5 tiles from the same stomach biopsy slide.
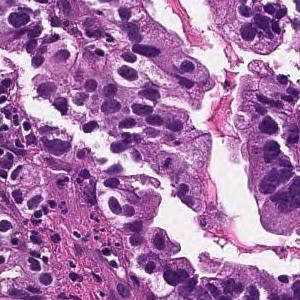
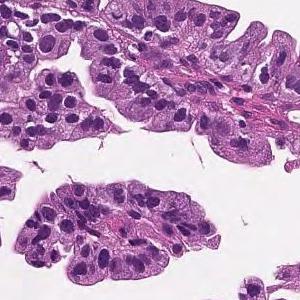
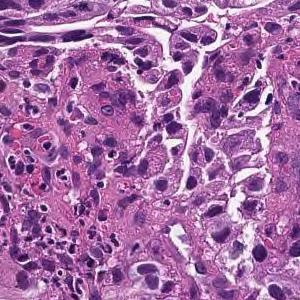
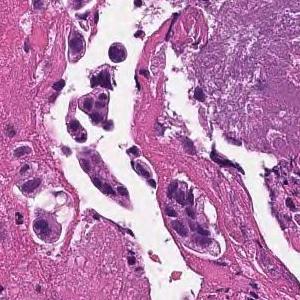
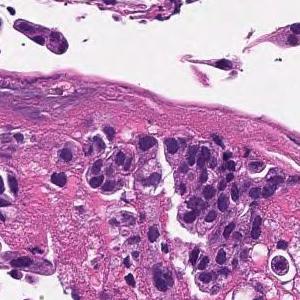
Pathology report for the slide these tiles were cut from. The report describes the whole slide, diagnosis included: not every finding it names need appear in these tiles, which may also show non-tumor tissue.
Medium to small, irregular glandular ducts are formed in the superficial epithelium, and in some cases, the glandular ducts are fused to show solid alveolar lesions and infiltrating tumor tissue is observed. Moderately to poorly differentiated adenocarcinoma.
